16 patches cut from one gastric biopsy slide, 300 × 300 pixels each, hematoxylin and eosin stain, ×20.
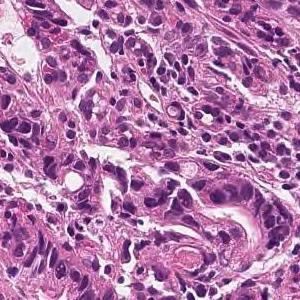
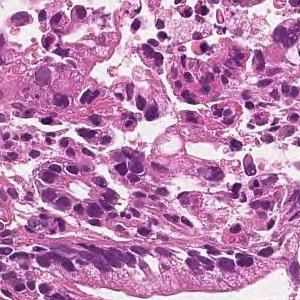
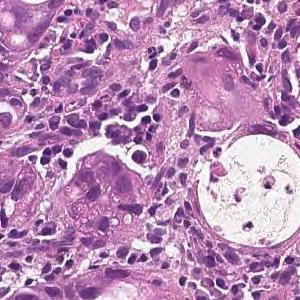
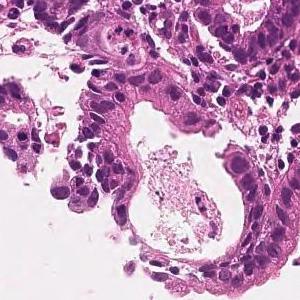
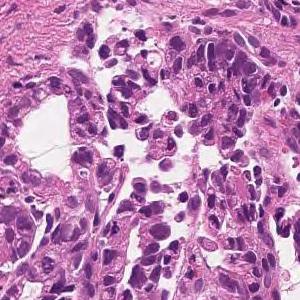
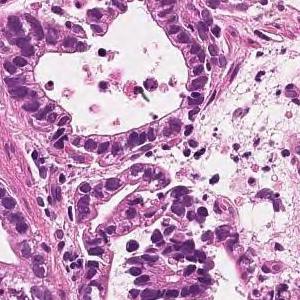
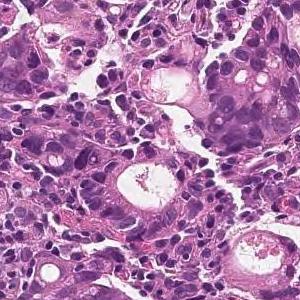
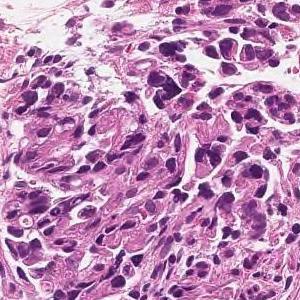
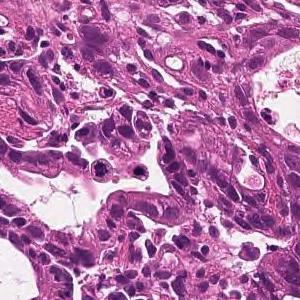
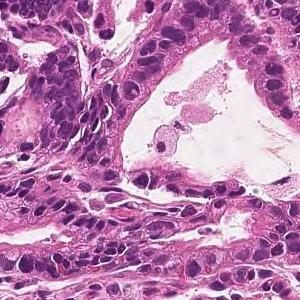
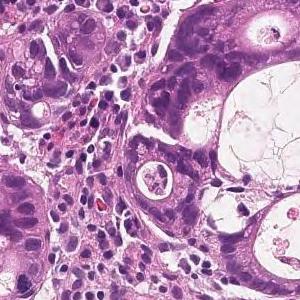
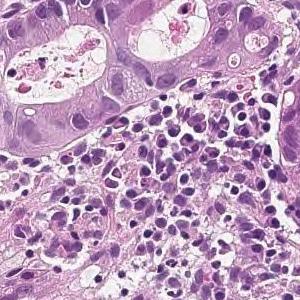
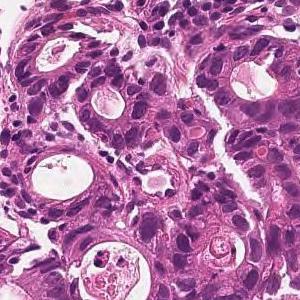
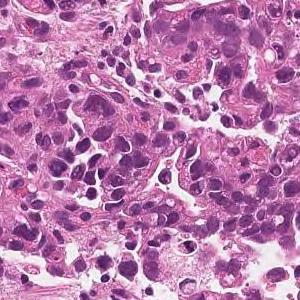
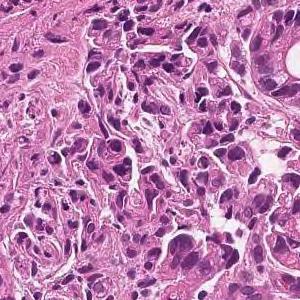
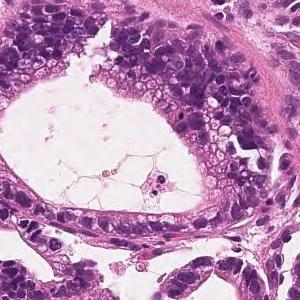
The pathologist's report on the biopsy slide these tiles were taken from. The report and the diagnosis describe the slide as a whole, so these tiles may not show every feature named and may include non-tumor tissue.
On the superficial epithelium, tumor tissue is found in which medium-sized irregular gland ducts fuse with each other and infiltrate. moderately differentiated tubular adenocarcinoma
